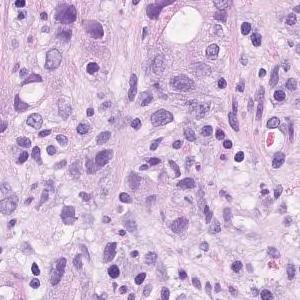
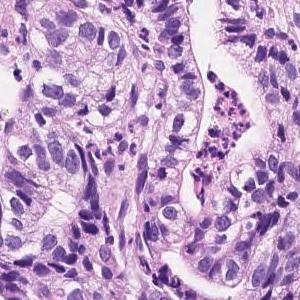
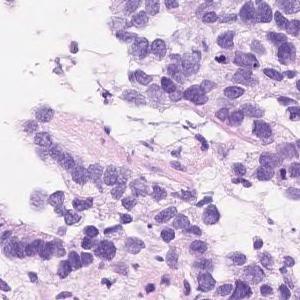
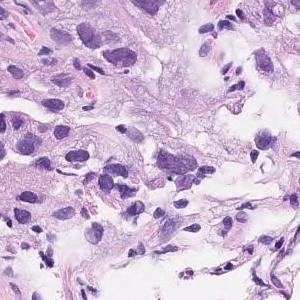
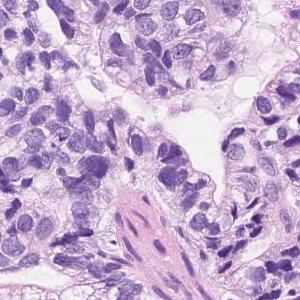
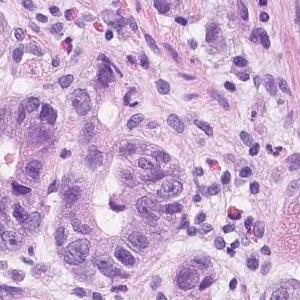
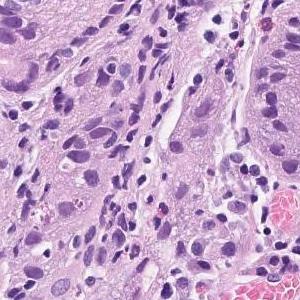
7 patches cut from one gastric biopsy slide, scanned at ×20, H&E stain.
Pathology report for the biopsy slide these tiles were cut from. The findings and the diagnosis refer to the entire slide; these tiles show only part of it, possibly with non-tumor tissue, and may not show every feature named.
In the superficial epithelium, tumor tissue that invades by forming medium-sized to small, irregular ducts is observed. Moderately to poorly differentiated adenocarcinoma
